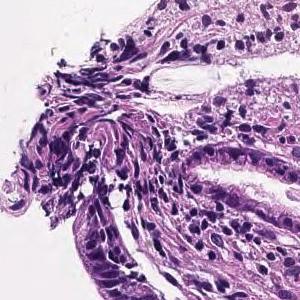
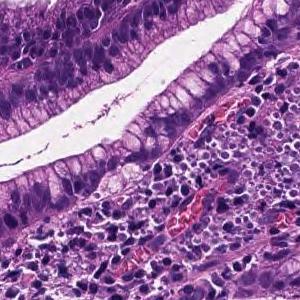
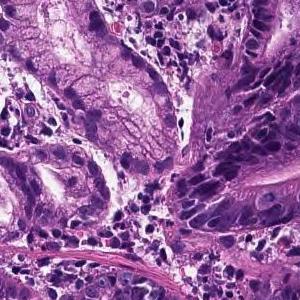
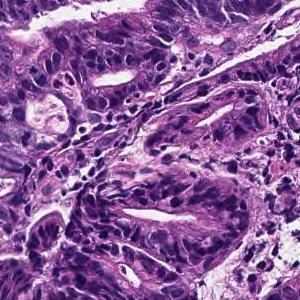
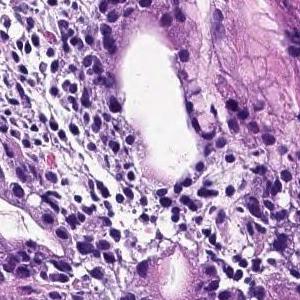
5 tiles cut from one stomach biopsy slide; each 300 × 300 pixels; scanned at ×20; H&E stain.
Report on the slide these tiles come from. What the report and the diagnosis say applies to the whole slide; these tiles may miss some of the features named and may include tissue that is not tumor.
From the superficial epithelium to the muscularis mucosae, tumor tissue consisting of medium-sized and irregular glandular ducts infiltrating is observed. Well differentiated tubular adenocarcinoma
